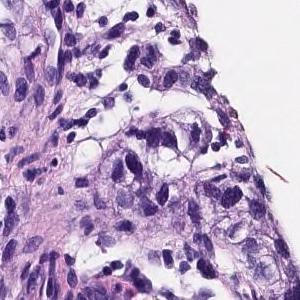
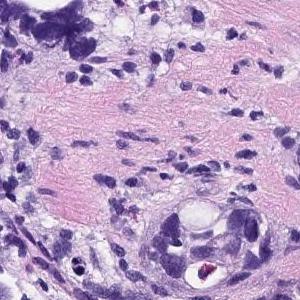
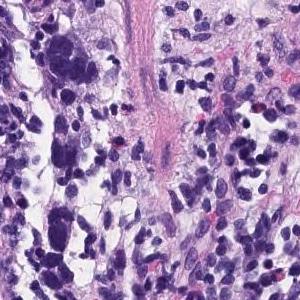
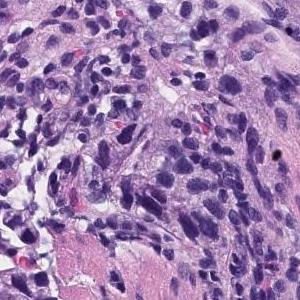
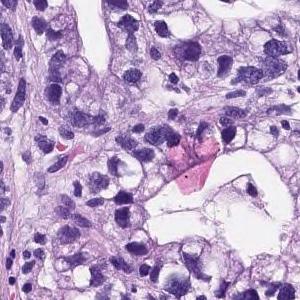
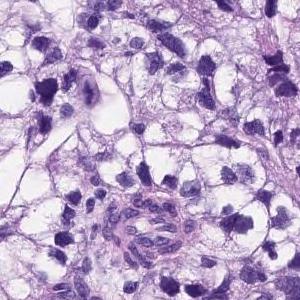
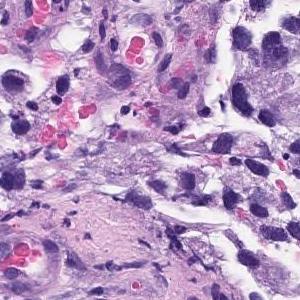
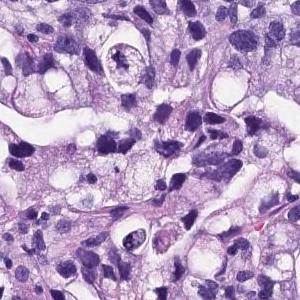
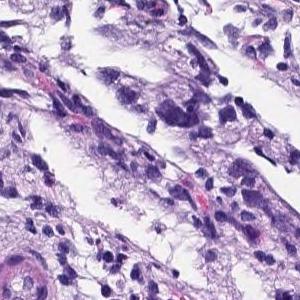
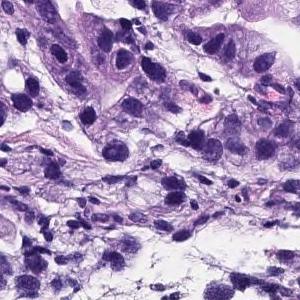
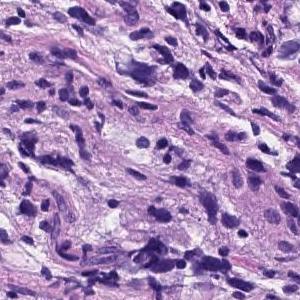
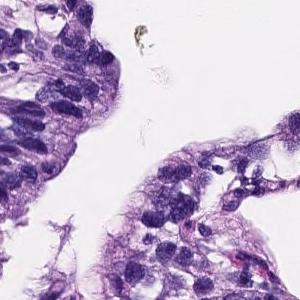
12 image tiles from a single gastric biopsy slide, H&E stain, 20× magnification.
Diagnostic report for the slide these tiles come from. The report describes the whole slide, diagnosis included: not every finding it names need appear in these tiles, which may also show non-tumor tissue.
Medium to small, irregular glandular ducts are formed in the superficial epithelium, and in some cases, the glandular ducts are fused to show solid alveolar lesions and infiltrating tumor tissue is observed. Poorly differentiated adenocarcinoma, Moderately differentiated adenocarcinoma.
Dataset label: moderately differentiated tubular adenocarcinoma.
